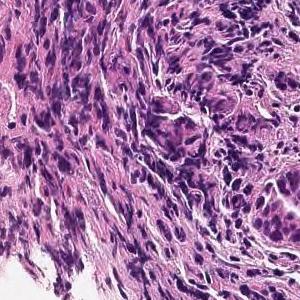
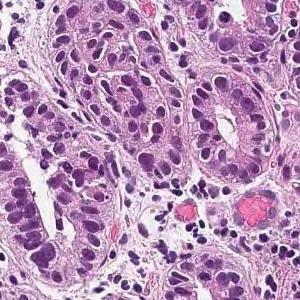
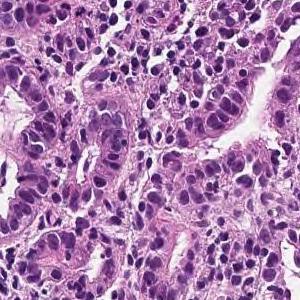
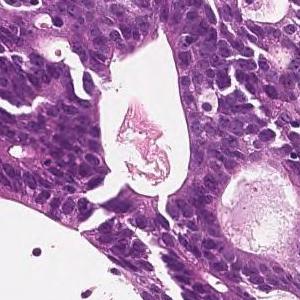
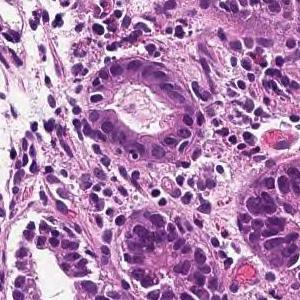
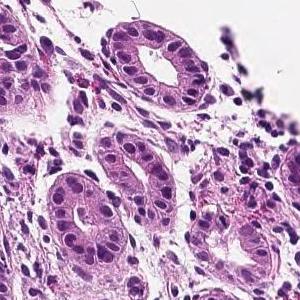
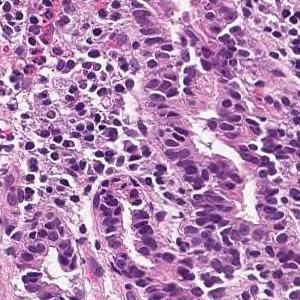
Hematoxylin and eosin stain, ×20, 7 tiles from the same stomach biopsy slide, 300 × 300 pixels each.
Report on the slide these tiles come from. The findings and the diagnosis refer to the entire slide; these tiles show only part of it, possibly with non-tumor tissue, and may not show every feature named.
In the superficial epithelium, tumor tissue that invades by forming medium-sized to small, irregular ducts is observed. moderately differentiated tubular adenocarcinoma.
